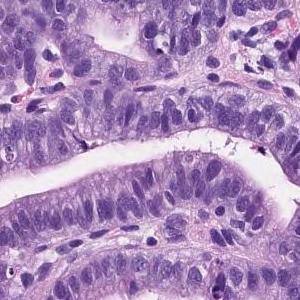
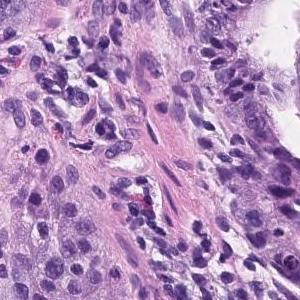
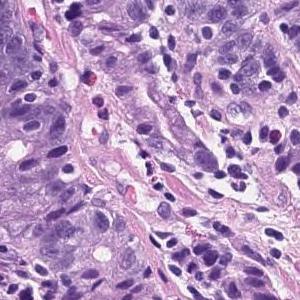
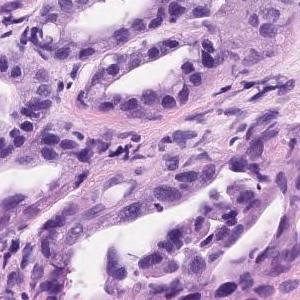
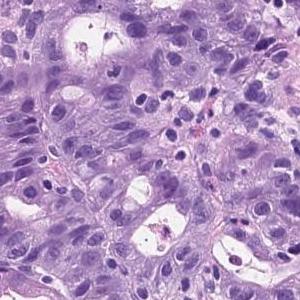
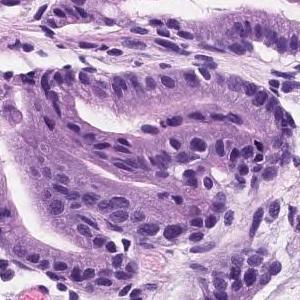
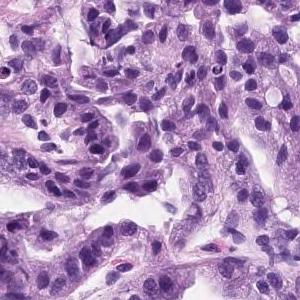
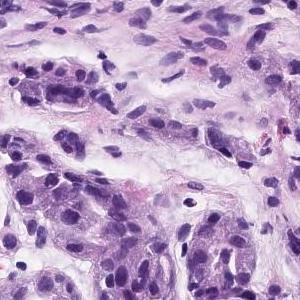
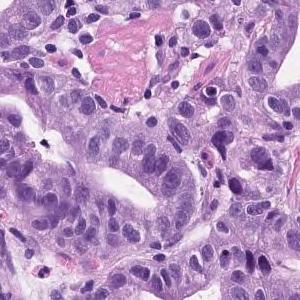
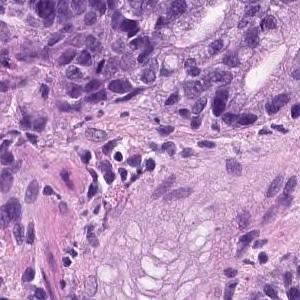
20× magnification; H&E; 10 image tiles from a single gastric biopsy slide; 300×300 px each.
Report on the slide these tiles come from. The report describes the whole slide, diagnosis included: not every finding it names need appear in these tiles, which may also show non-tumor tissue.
Tumor tissue consisting of medium-sized and irregular ducts is observed infiltrating in the superficial epithelium. Tumor cells are highly columnar, with nuclei aligned basolaterally and polarized. Well differentiated tubular adenocarcinoma.
